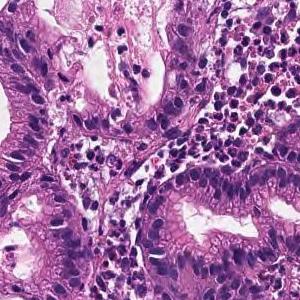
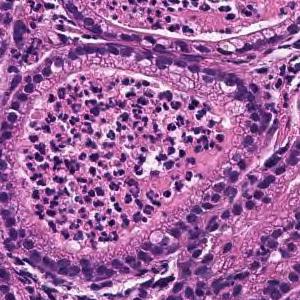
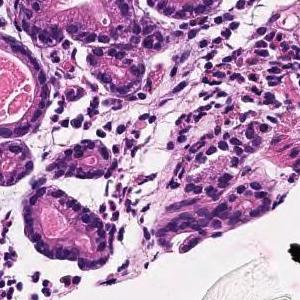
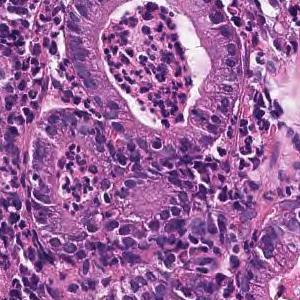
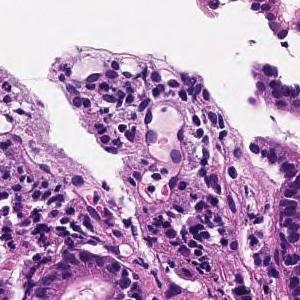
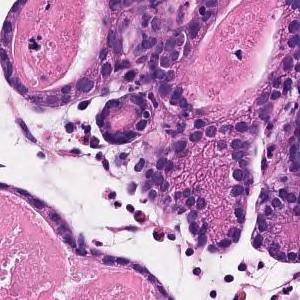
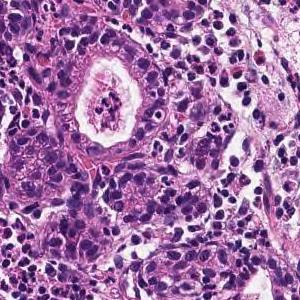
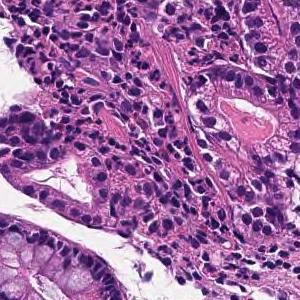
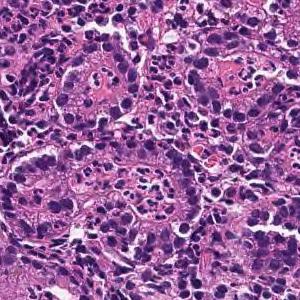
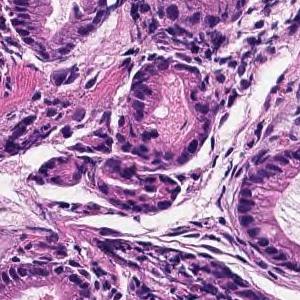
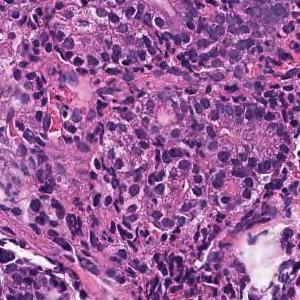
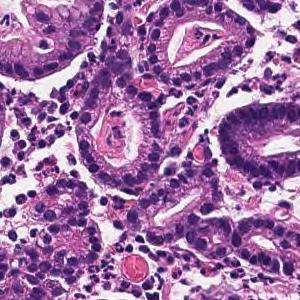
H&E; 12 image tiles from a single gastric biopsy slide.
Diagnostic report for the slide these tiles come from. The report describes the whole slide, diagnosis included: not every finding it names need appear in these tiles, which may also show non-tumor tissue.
Tumor tissue infiltrated and proliferated with small to medium-sized irregular tubules is observed in the superficial epithelium. Well differentiated tubular adenocarcinoma
